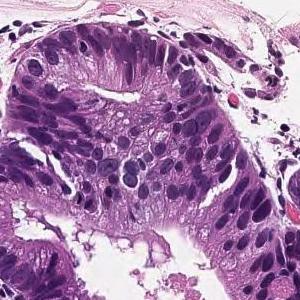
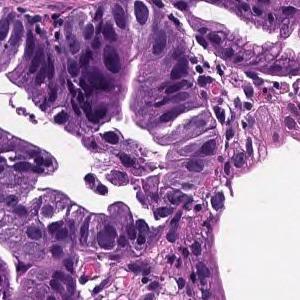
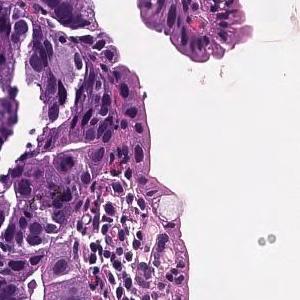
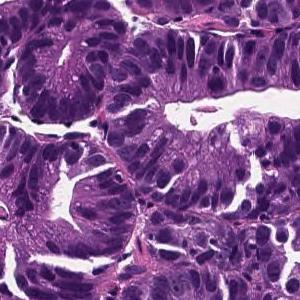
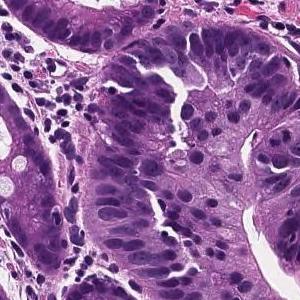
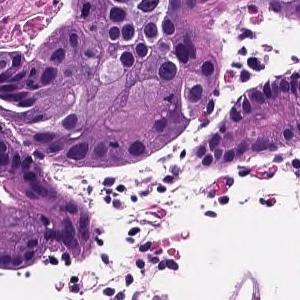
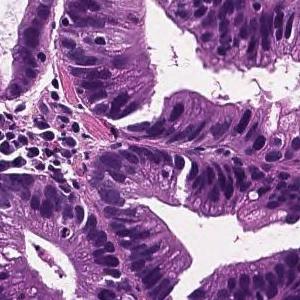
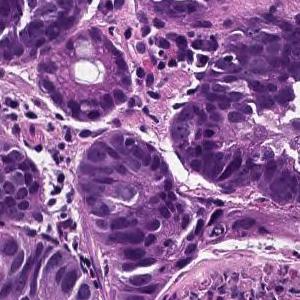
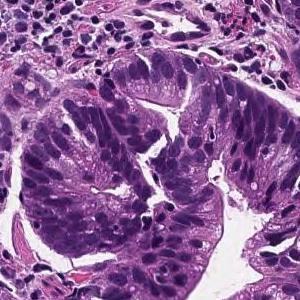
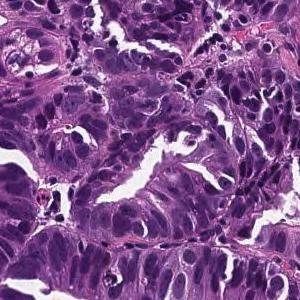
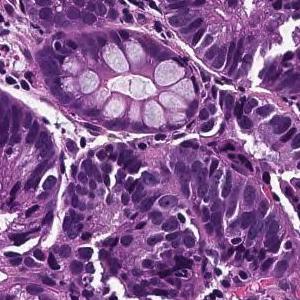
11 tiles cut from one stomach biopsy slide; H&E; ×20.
Report on the slide these tiles come from. Both the report and the diagnosis are for the whole slide: these tiles need not show every feature named, and some of the tissue shown may not be tumor.
Tumor cells are large, highly columnar, large club-shaped nuclei, and are associated with chromatin aggregation. Papillary adenocarcinoma.
